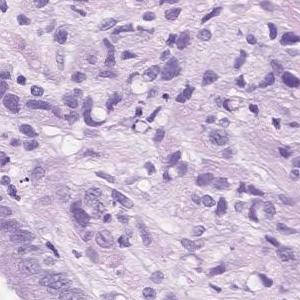
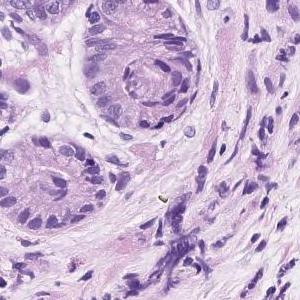
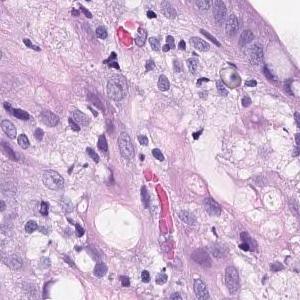
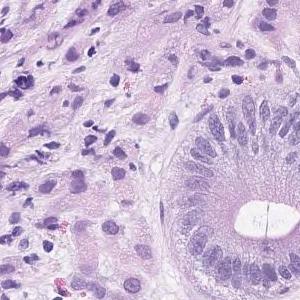
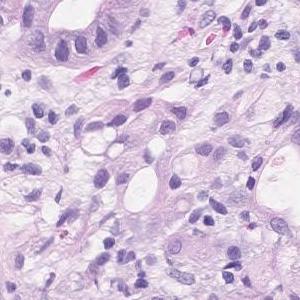
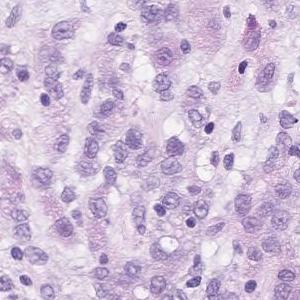
Hematoxylin and eosin stain, scanned at ×20, 6 tiles from the same stomach biopsy slide, 300×300 px each.
Pathology report for the slide these tiles were cut from. Both the report and the diagnosis are for the whole slide: these tiles need not show every feature named, and some of the tissue shown may not be tumor.
Group 5, Adenocarcinoma. Poorly differentiated adenocarcinoma, non-solid type
The non-solid type named here is a Japanese Classification of Gastric Carcinoma category.
